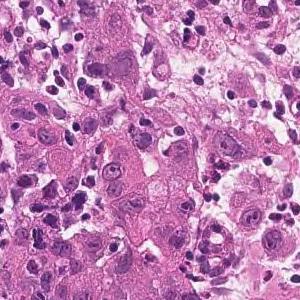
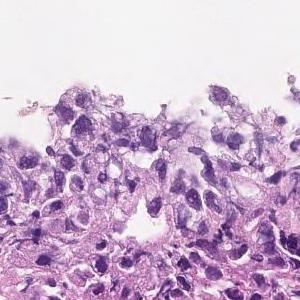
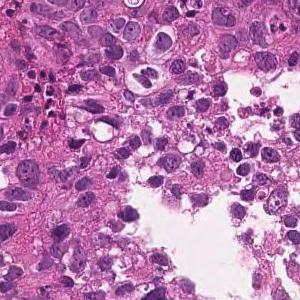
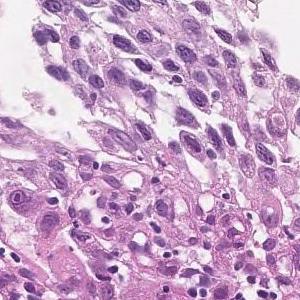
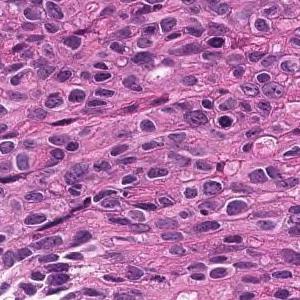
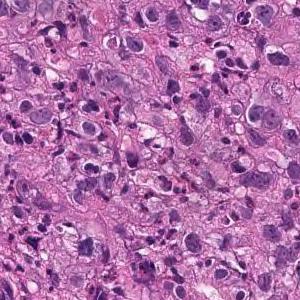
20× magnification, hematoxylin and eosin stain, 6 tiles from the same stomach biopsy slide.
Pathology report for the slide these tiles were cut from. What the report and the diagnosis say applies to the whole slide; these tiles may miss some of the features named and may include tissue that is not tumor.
The superficial epithelium shows a large sheet-like shape, and some tumor tissue infiltrates with small irregular ducts. Poorly differentiated adenocarcinoma, solid-type
Classified as poorly differentiated adenocarcinoma, solid type, a category of the Japanese Classification of Gastric Carcinoma; in the WHO 2019 classification it is tubular adenocarcinoma, poorly differentiated.
